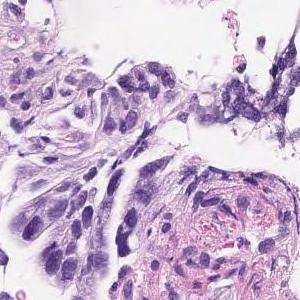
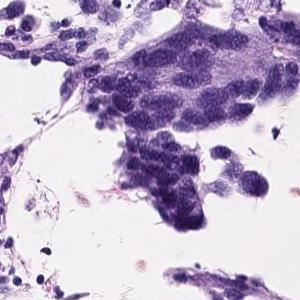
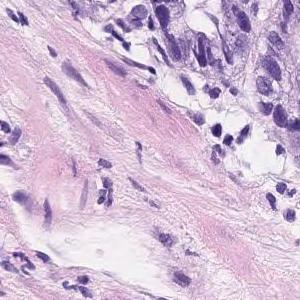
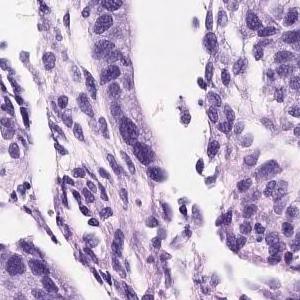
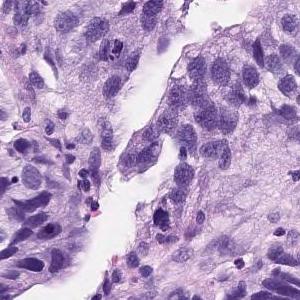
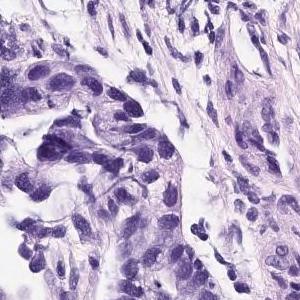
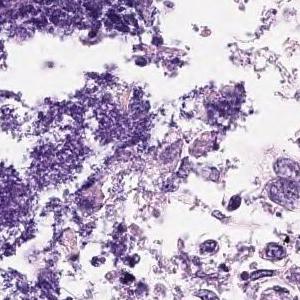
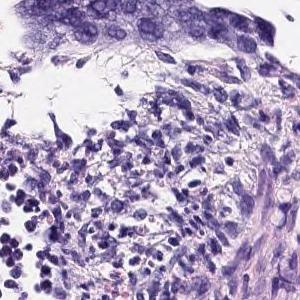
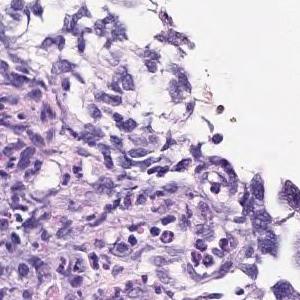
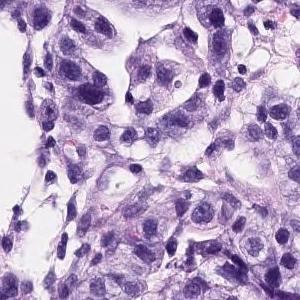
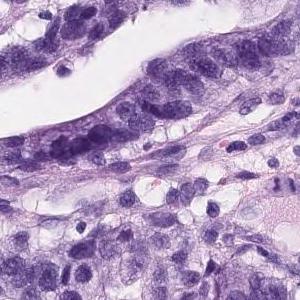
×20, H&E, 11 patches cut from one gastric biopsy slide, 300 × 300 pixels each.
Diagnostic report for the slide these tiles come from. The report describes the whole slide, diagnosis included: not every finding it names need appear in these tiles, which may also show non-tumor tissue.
On the superficial epithelium, tumor tissue consisting of medium to small irregular tubules partially fused and proliferated is observed. moderately differentiated tubular adenocarcinoma
